16 patches cut from one gastric biopsy slide; 300 × 300 pixels each; scanned at ×20; H&E.
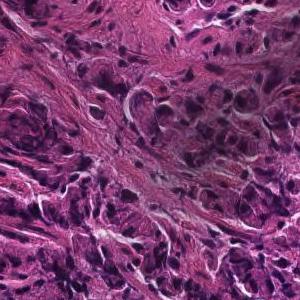
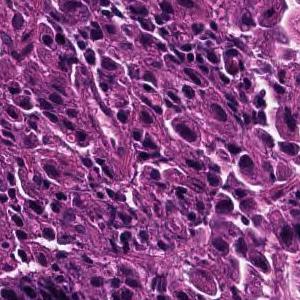
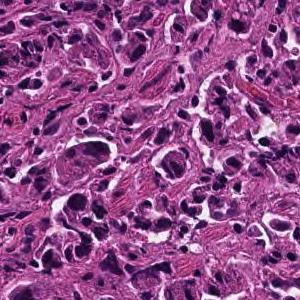
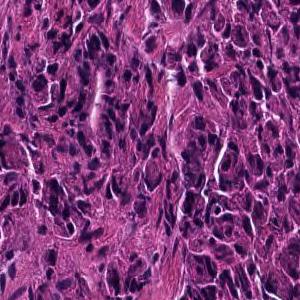
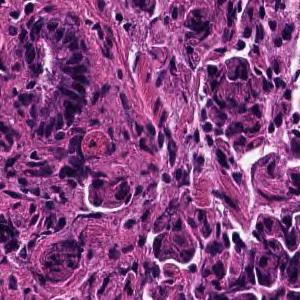
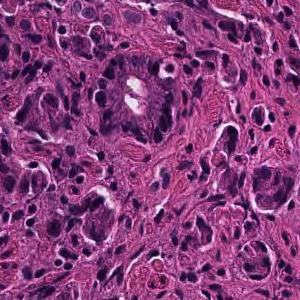
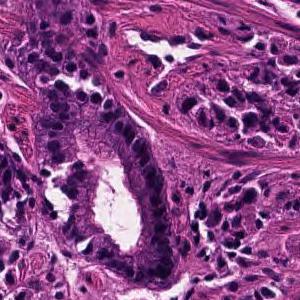
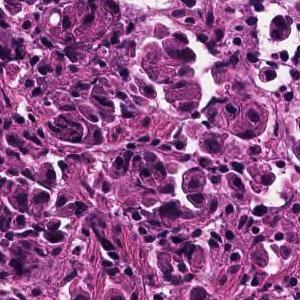
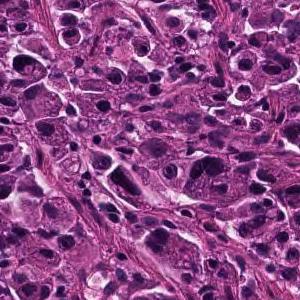
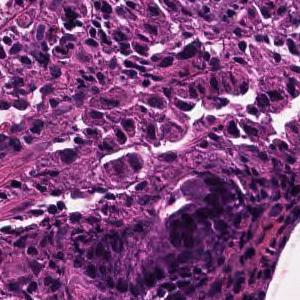
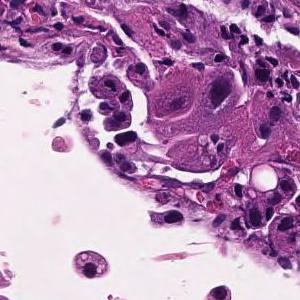
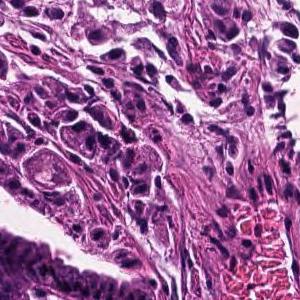
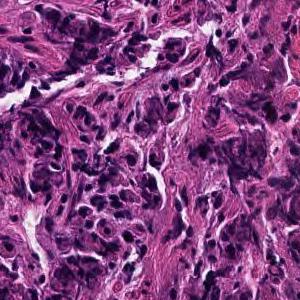
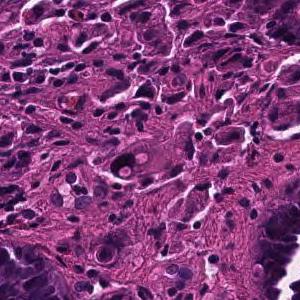
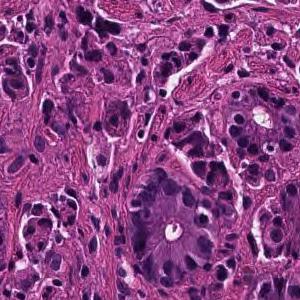
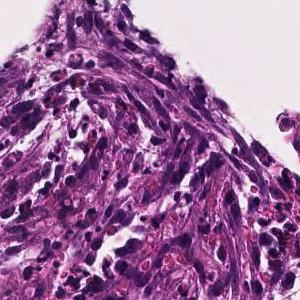
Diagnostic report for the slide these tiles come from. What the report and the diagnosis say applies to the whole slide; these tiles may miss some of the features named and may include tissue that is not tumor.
Tumor tissue consisting of cord-like or small, irregular glandular ducts fused and infiltrated is observed in the superficial epithelium. Poorly differentiated adenocarcinoma, non-solid type
The term "non-solid type" comes from the Japanese Classification of Gastric Carcinoma.
